H&E · 12 tiles from the same stomach biopsy slide · 300×300 px each.
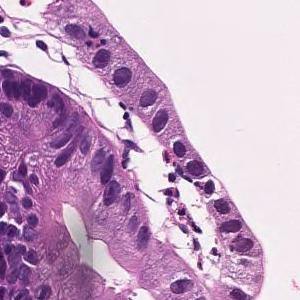
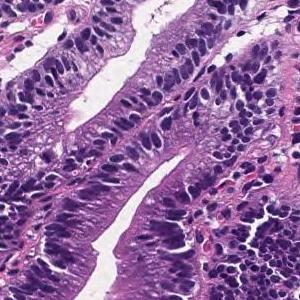
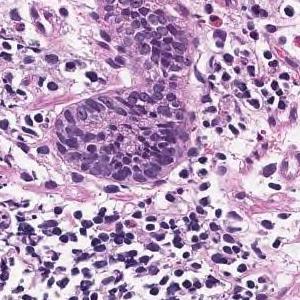
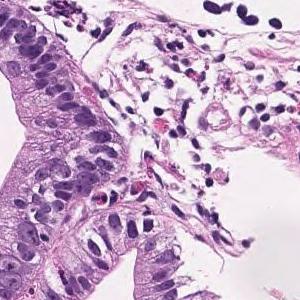
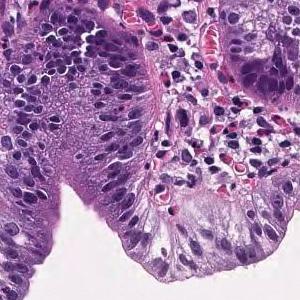
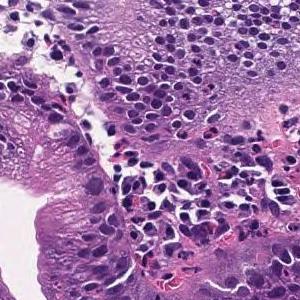
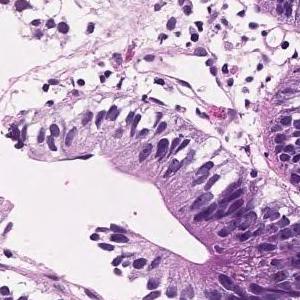
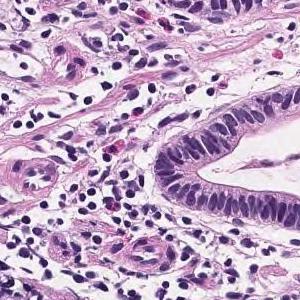
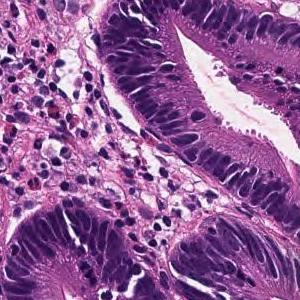
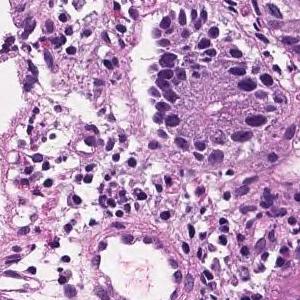
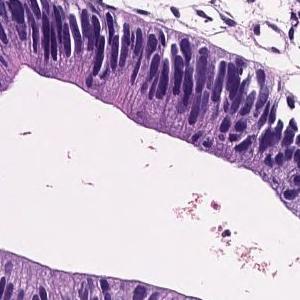
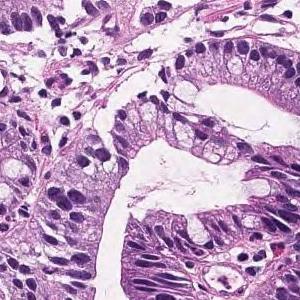
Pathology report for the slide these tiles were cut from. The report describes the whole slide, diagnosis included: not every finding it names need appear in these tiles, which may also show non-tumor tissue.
In the superficial epithelium, tumor tissue that invades by forming medium-sized to small, irregular ducts is observed. Well differentiated tubular adenocarcinoma.
